11 tiles from the same stomach biopsy slide; 300 × 300 pixels each; scanned at ×20; H&E stain.
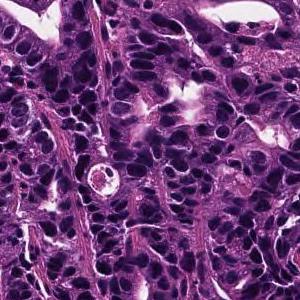
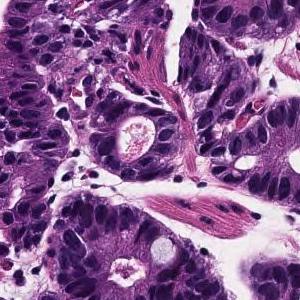
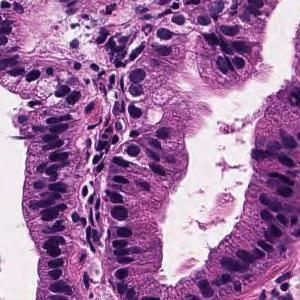
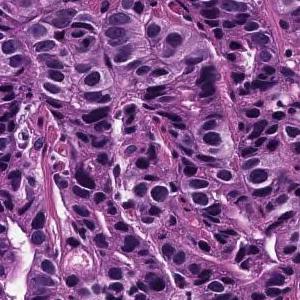
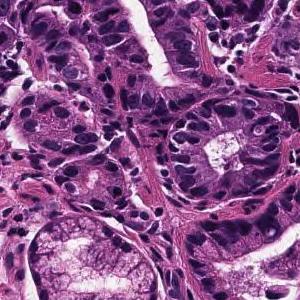
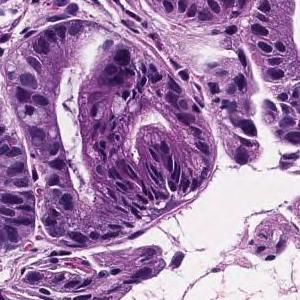
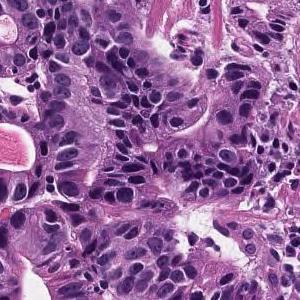
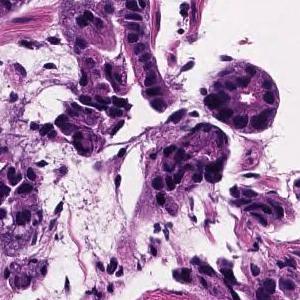
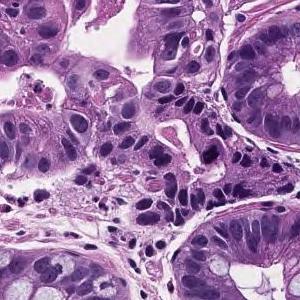
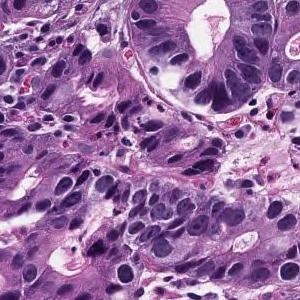
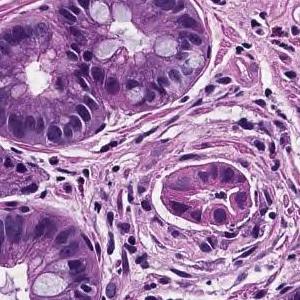
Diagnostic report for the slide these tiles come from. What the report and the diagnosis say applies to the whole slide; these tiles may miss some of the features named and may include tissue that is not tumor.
In the superficial epithelium, tumor tissue that invades by forming medium-sized to small, irregular ducts is observed. Well differentiated tubular adenocarcinoma.
